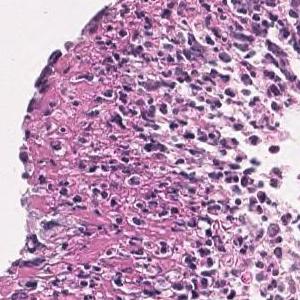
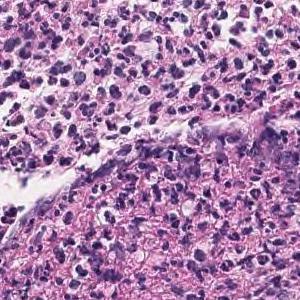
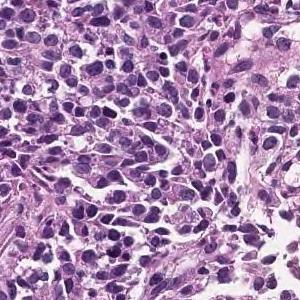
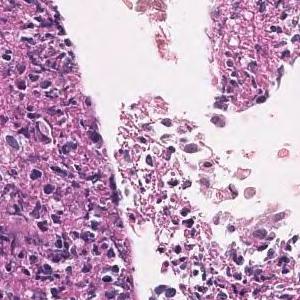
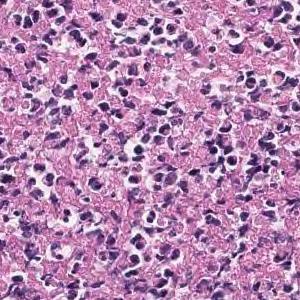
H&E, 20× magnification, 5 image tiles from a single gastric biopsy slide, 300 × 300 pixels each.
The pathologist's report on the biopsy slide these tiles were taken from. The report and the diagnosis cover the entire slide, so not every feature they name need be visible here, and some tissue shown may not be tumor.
The superficial epithelium shows a large sheet-like shape, and some tumor tissue infiltrates with small irregular ducts. Poorly differentiated adenocarcinoma, solid-type
Tumor subtype: poorly differentiated adenocarcinoma, solid type (Japanese Classification of Gastric Carcinoma). The WHO 2019 equivalent is tubular adenocarcinoma, poorly differentiated.
